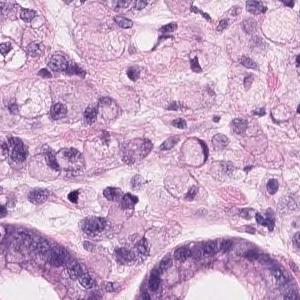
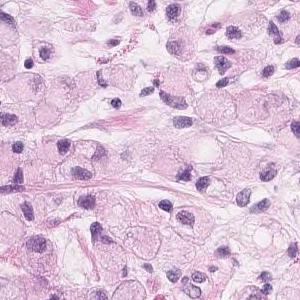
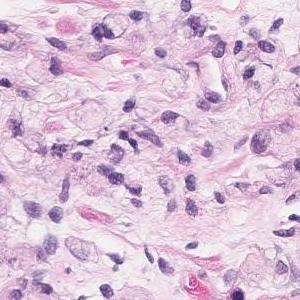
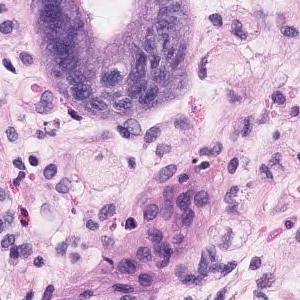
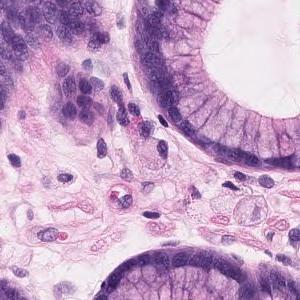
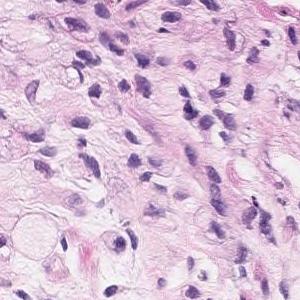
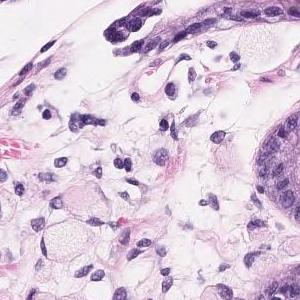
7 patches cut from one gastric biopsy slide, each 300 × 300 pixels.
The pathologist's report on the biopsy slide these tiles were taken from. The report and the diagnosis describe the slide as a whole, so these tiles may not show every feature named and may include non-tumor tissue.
In the lamina propria, atypical epithelial cells that store mucus and lack connectivity proliferate diffusely. Adenocarcinoma. Signet ring cell carcinoma.
